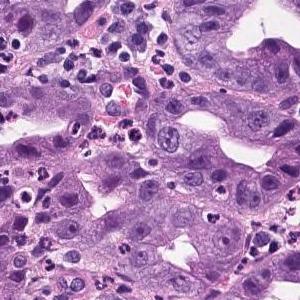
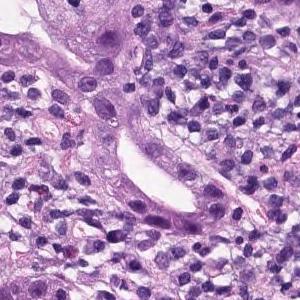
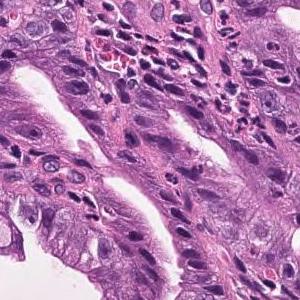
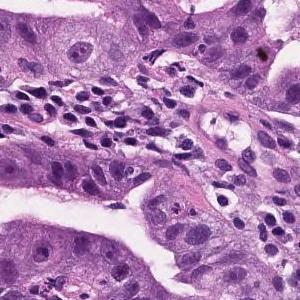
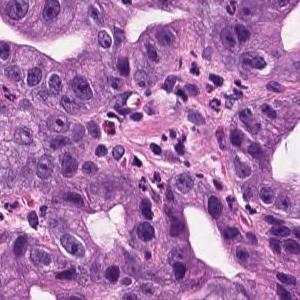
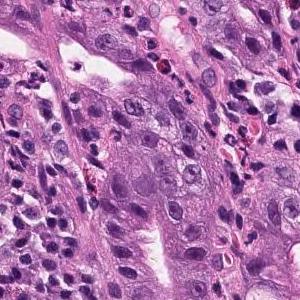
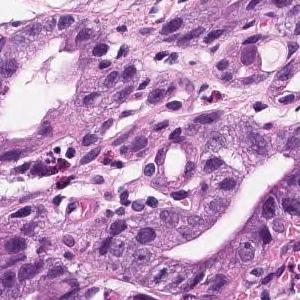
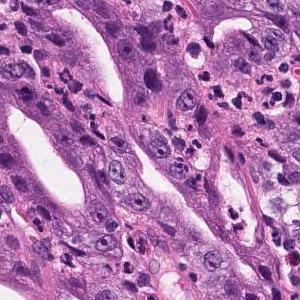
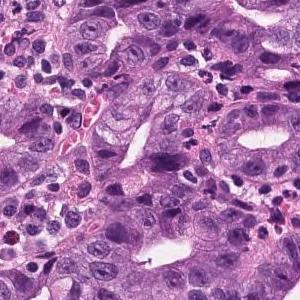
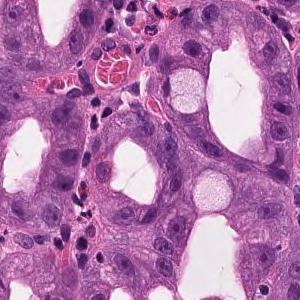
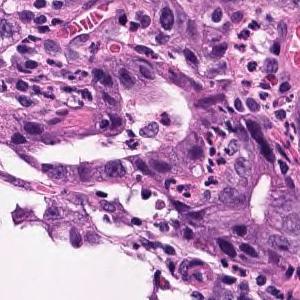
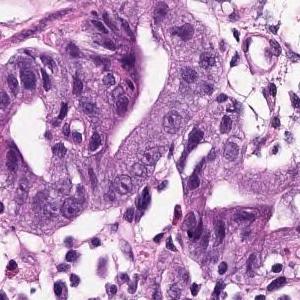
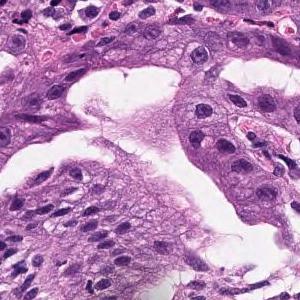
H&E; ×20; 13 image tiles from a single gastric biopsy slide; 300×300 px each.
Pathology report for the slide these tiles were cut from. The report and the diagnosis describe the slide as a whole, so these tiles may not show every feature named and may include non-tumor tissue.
In the superficial epithelium, tumor tissue that invades by forming medium-sized to small, irregular ducts is observed. Well to moderately differentiated adenocarcinoma (well differentiated tubular adenocarcinoma, moderately differentiated tubular adenocarcinoma).
Classified as well to moderately differentiated tubular adenocarcinoma.
